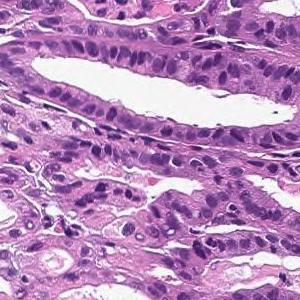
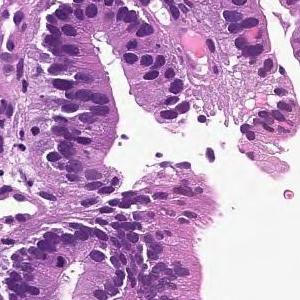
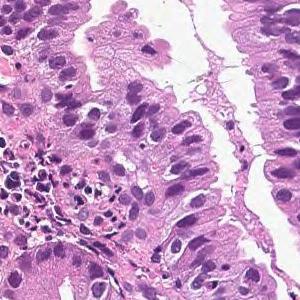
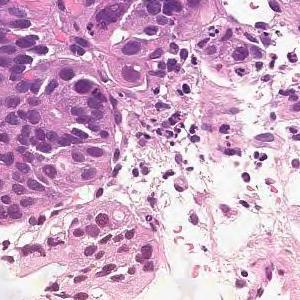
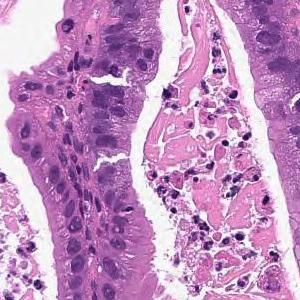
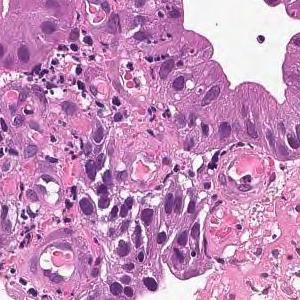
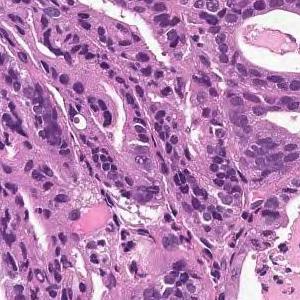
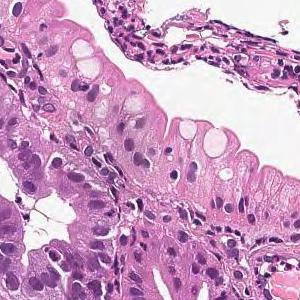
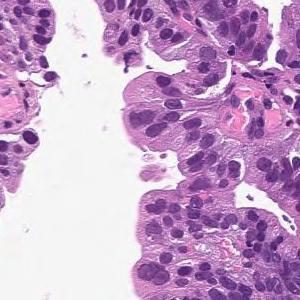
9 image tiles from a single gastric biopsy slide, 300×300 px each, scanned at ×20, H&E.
Pathology report for the slide these tiles were cut from. The findings and the diagnosis refer to the entire slide; these tiles show only part of it, possibly with non-tumor tissue, and may not show every feature named.
From the superficial epithelium to the muscularis mucosae, tumor tissue consisting of medium-sized and irregular glandular ducts infiltrating is observed. Well differentiated tubular adenocarcinoma
